4 patches cut from one gastric biopsy slide · each 300 × 300 pixels · hematoxylin and eosin stain.
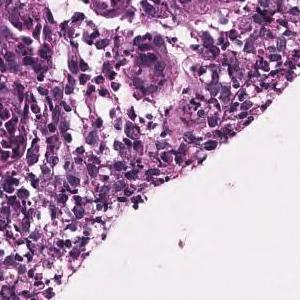
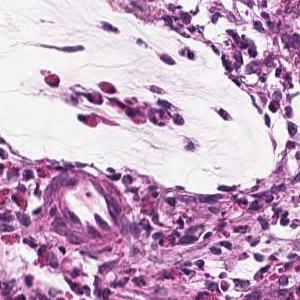
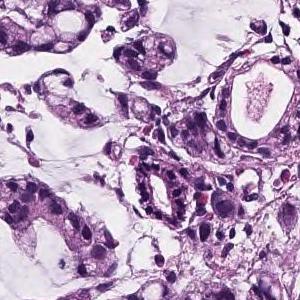
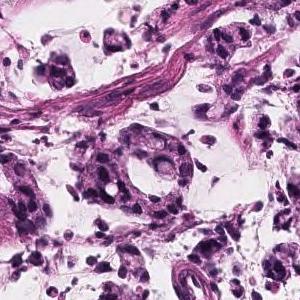
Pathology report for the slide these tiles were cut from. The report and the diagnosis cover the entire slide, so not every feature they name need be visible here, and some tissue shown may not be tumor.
Atypical epithelial cells form obscure ductal structures or small solid follicles, and tumor tissue that proliferates invasively with proliferation of inflammatory granulation tissue is observed. Mucinous adenocarcinoma .
